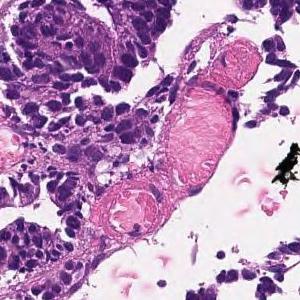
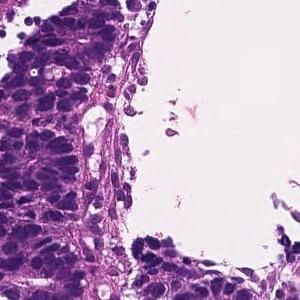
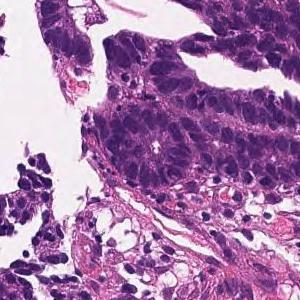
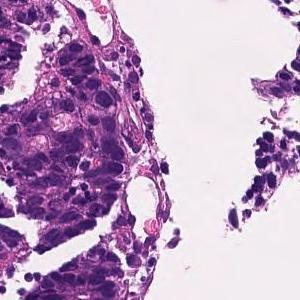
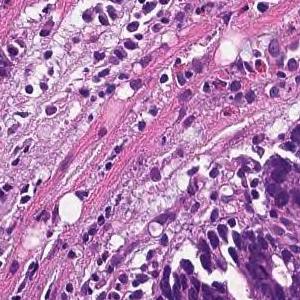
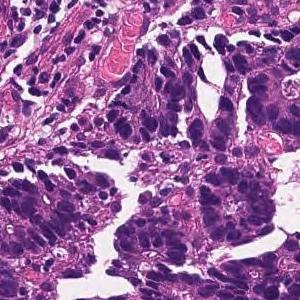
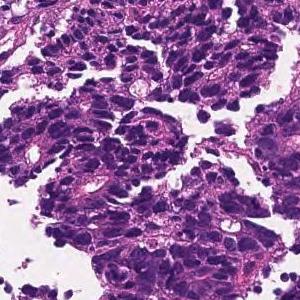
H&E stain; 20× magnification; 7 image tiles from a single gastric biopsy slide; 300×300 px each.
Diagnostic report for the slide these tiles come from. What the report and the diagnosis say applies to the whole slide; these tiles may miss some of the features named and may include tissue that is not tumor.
In the superficial epithelium, tumor tissue that invades by forming medium-sized to small, irregular ducts is observed. Moderately differentiated adenocarcinoma (moderately differentiated tubular adenocarcinoma).
Tumor subtype: moderately differentiated tubular adenocarcinoma.
